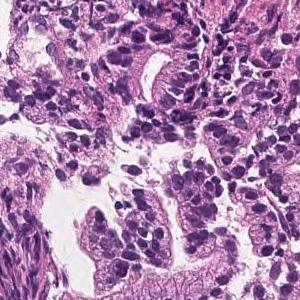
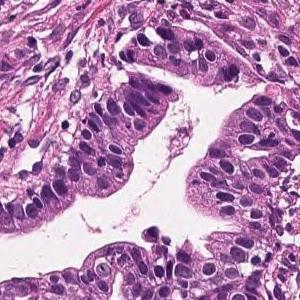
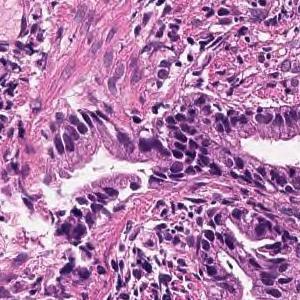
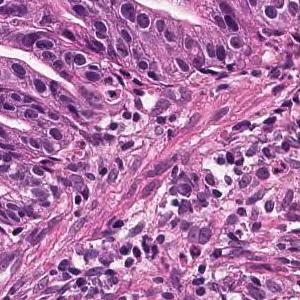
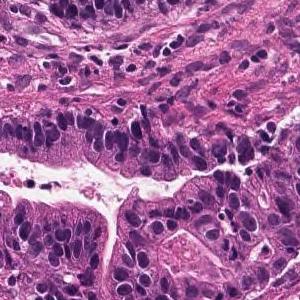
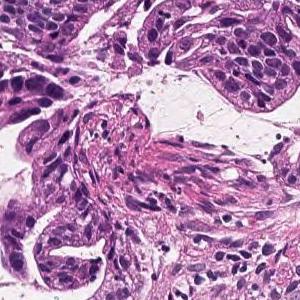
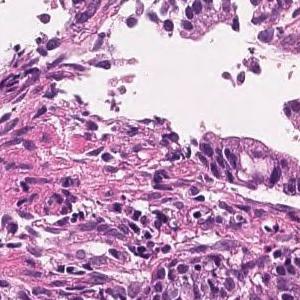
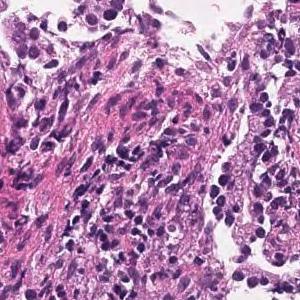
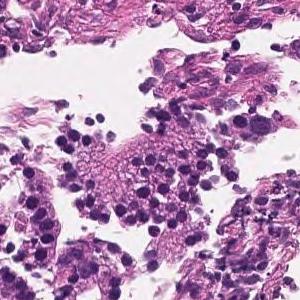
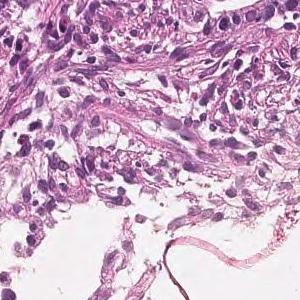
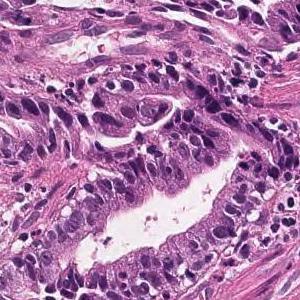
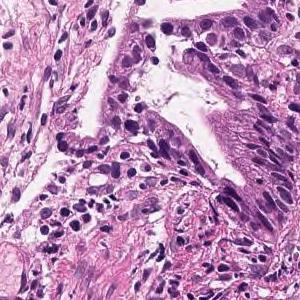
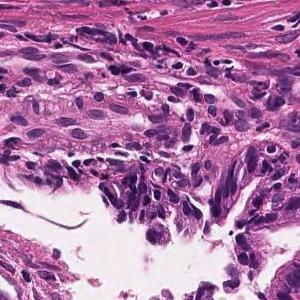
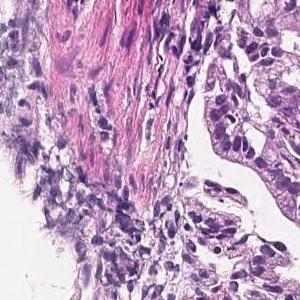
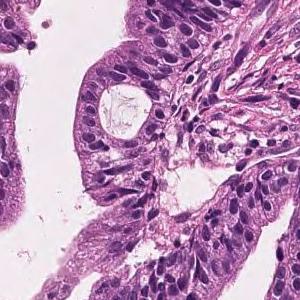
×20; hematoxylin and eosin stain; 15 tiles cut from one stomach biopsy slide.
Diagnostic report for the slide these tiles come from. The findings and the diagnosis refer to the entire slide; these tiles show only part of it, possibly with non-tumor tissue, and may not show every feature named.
Tumor cells are large, highly columnar, large club-shaped nuclei, and are associated with chromatin aggregation. Papillary adenocarcinoma.
